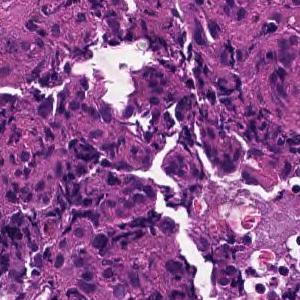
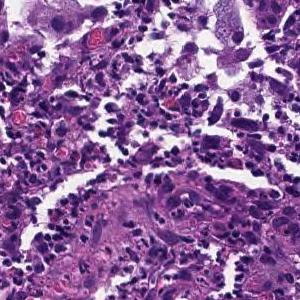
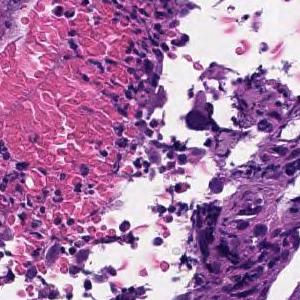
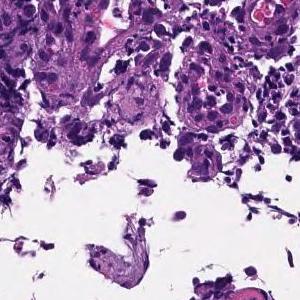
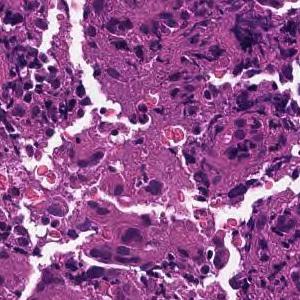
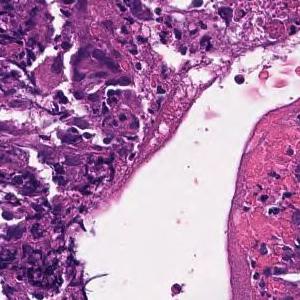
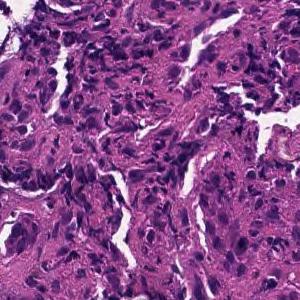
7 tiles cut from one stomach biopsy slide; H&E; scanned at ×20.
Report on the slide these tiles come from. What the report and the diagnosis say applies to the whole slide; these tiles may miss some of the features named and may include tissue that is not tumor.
Tumor cells are medium to large, cuboidal, and have little tendency to differentiate. Poorly differentiated adenocarcinoma, solid-type  or moderately differentiated tubular adenocarcinoma
Labeled in the dataset as poorly differentiated adenocarcinoma, solid type, a category of the Japanese Classification of Gastric Carcinoma; in the WHO 2019 classification it is tubular adenocarcinoma, poorly differentiated.
